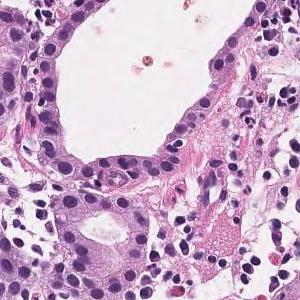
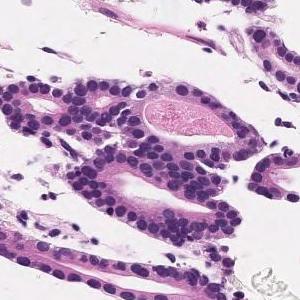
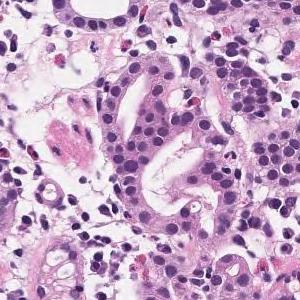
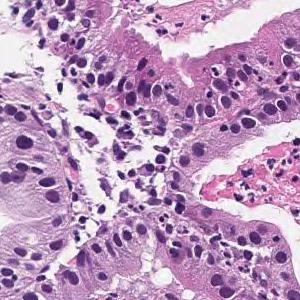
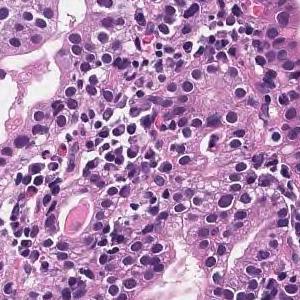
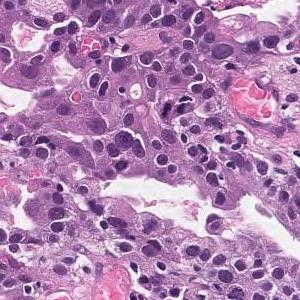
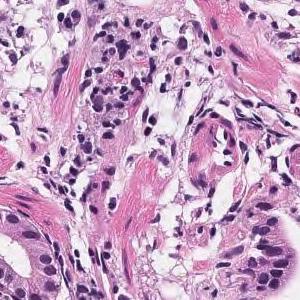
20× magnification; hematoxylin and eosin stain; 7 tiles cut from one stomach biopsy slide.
Report on the slide these tiles come from. The report describes the whole slide, diagnosis included: not every finding it names need appear in these tiles, which may also show non-tumor tissue.
Medium to small, irregular glandular ducts are formed in the superficial epithelium, and in some cases, the glandular ducts are fused to show solid alveolar lesions and infiltrating tumor tissue is observed. Moderately to poorly differentiated adenocarcinoma.
